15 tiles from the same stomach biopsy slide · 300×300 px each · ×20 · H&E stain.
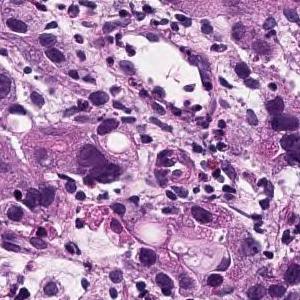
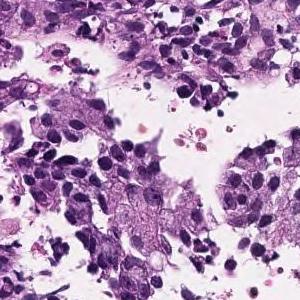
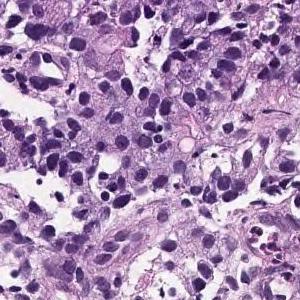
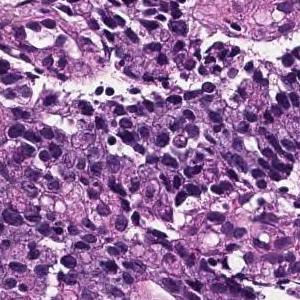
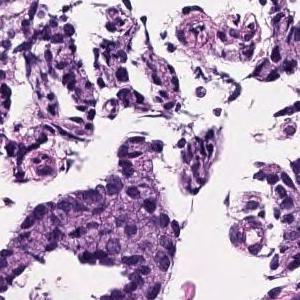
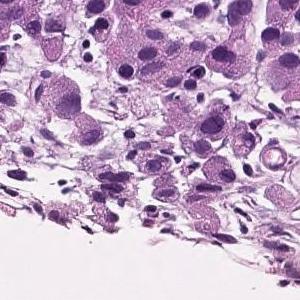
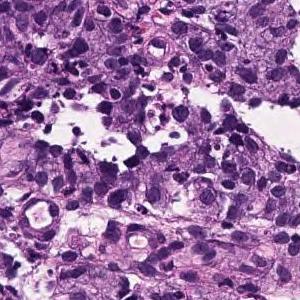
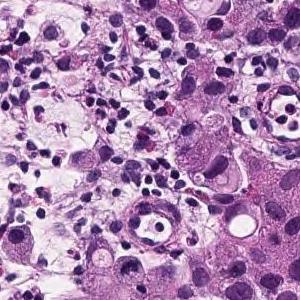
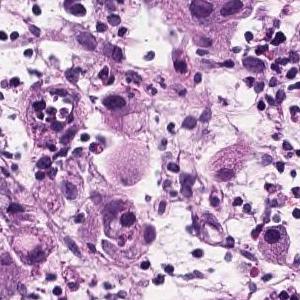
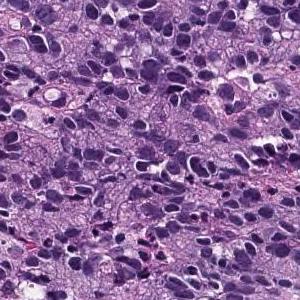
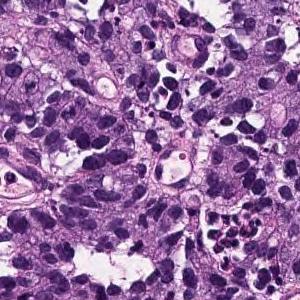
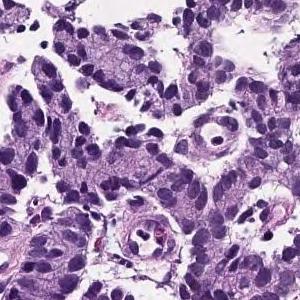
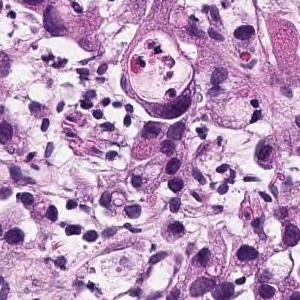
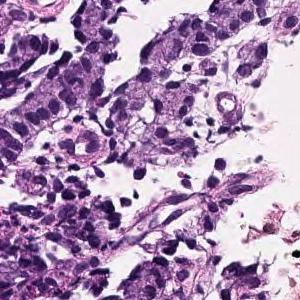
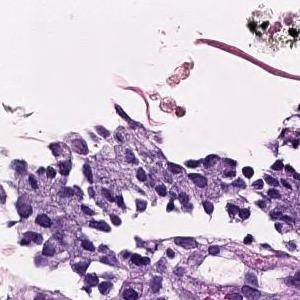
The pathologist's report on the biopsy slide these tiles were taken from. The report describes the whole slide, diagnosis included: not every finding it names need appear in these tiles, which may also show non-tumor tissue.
Tumor tissue infiltrated by irregular fusion of small cord-like structures is found in the superficial epithelium. Poorly differentiated adenocarcinoma, non-solid type
The term "non-solid type" comes from the Japanese Classification of Gastric Carcinoma.
